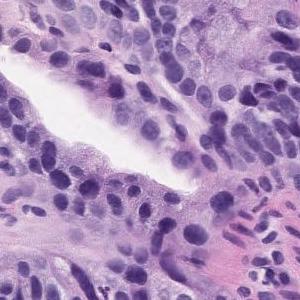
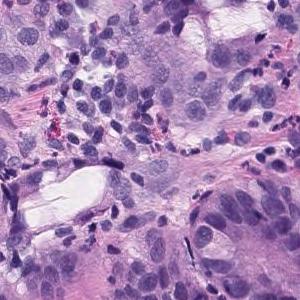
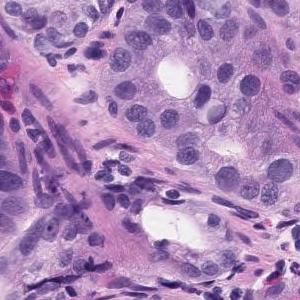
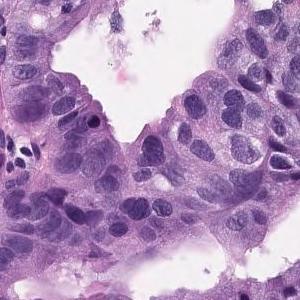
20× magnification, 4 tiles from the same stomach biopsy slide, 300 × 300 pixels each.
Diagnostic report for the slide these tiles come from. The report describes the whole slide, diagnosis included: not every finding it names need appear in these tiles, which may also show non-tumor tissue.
Tumor tissue consisting of medium-sized and irregular ducts is observed infiltrating in the superficial epithelium. Tumor cells are highly columnar, with nuclei aligned basolaterally and polarized. Well differentiated tubular adenocarcinoma.
